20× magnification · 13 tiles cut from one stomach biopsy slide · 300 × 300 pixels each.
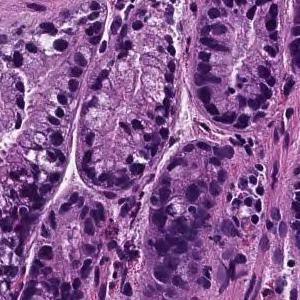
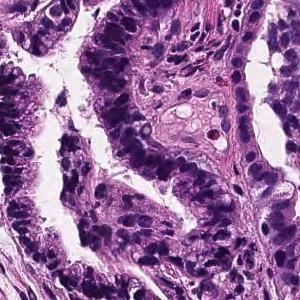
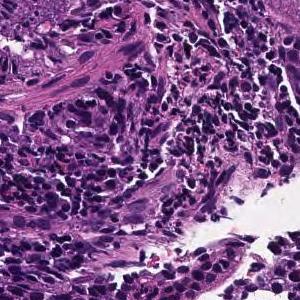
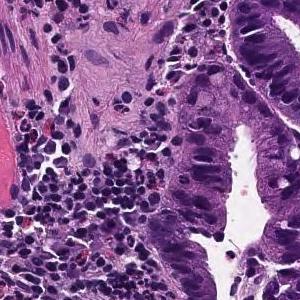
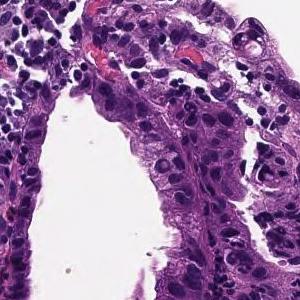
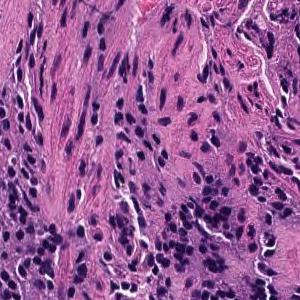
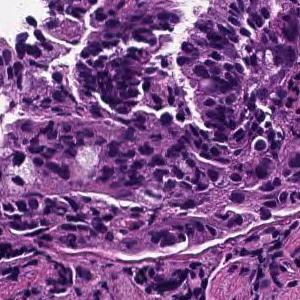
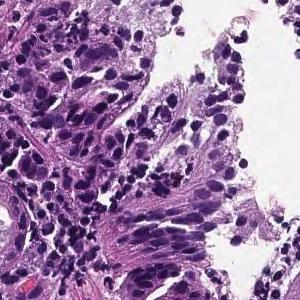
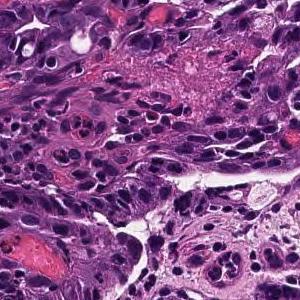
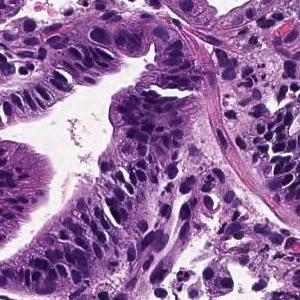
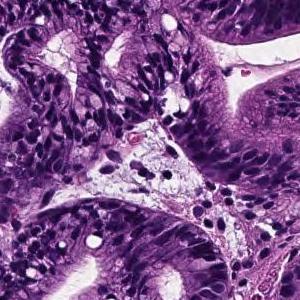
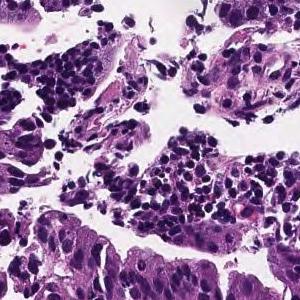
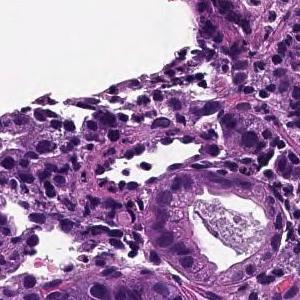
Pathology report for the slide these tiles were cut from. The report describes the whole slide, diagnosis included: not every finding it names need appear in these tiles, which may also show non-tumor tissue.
From the superficial epithelium to the muscularis mucosae, tumor tissue consisting of medium-sized and irregular glandular ducts infiltrating is observed. Well differentiated tubular adenocarcinoma
